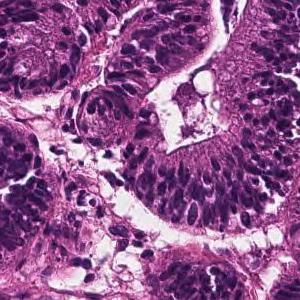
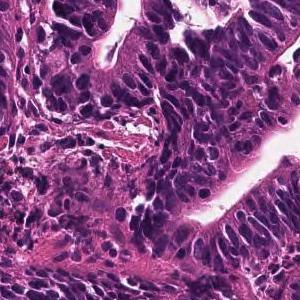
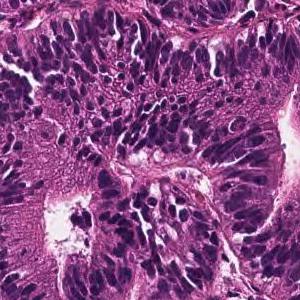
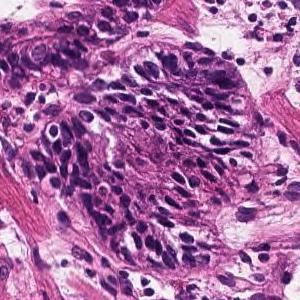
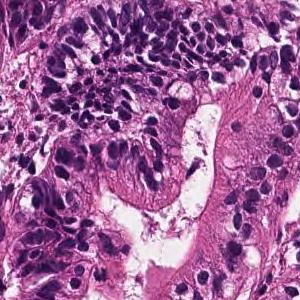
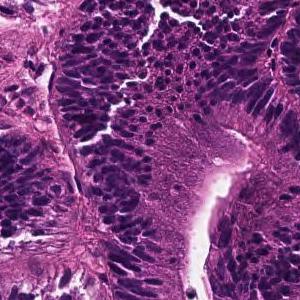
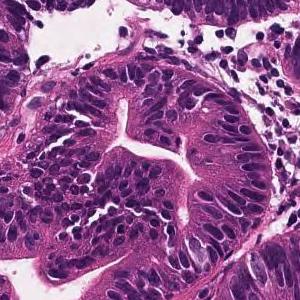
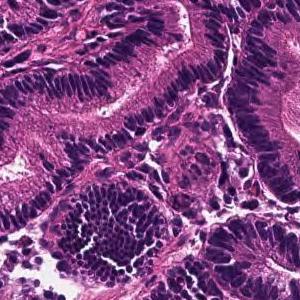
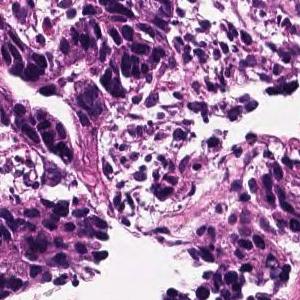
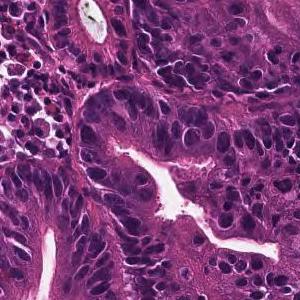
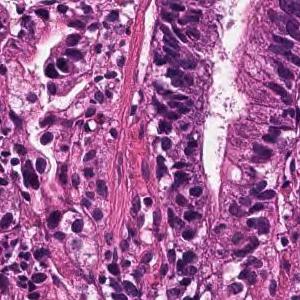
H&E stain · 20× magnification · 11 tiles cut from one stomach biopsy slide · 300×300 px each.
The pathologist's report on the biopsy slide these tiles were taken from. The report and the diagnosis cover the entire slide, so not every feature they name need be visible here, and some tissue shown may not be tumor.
A large irregular tubular structure is exhibited in the epithelium, and tumor tissue that partially fuses and infiltrates and proliferates is observed. Large columnar tumor cells exhibit enlarged nucleus, hyperchromatism, and mitotic figures. Well differentiated tubular adenocarcinoma
